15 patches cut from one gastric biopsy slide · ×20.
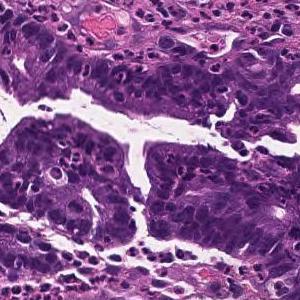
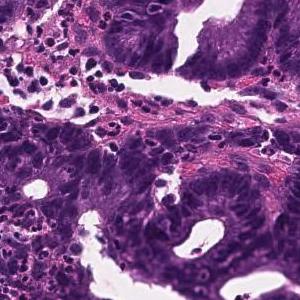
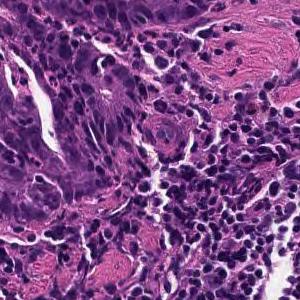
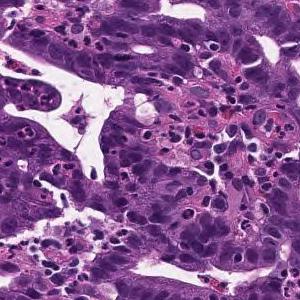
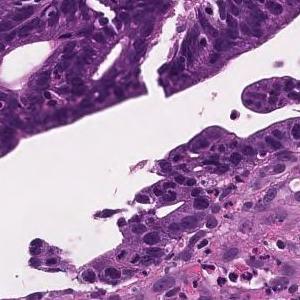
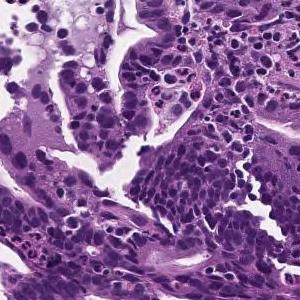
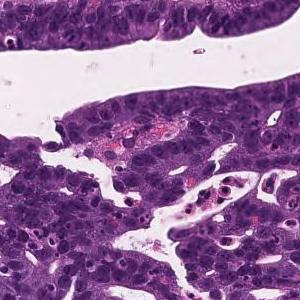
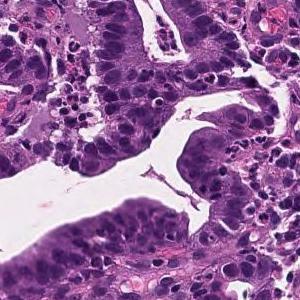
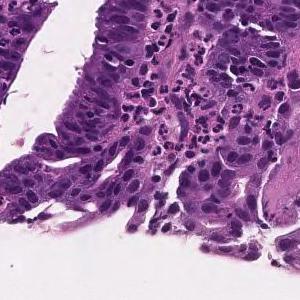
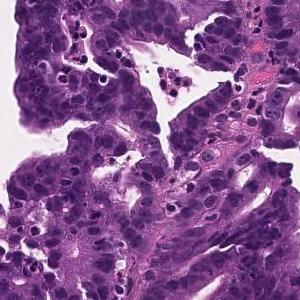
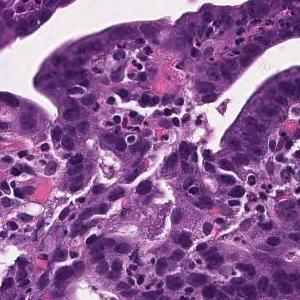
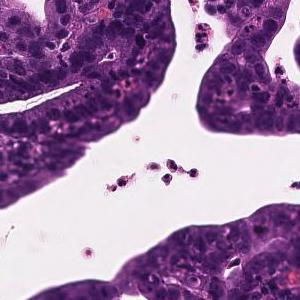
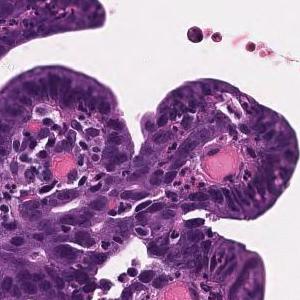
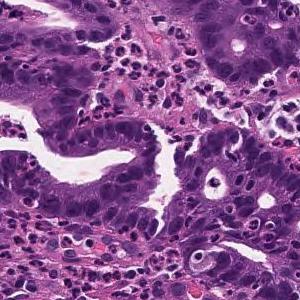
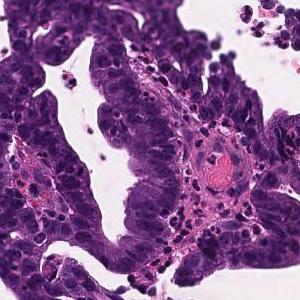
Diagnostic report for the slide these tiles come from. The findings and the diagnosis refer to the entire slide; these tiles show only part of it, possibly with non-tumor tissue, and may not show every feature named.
Tumor cells are large, highly columnar, large club-shaped nuclei, and are associated with chromatin aggregation. Papillary adenocarcinoma.
